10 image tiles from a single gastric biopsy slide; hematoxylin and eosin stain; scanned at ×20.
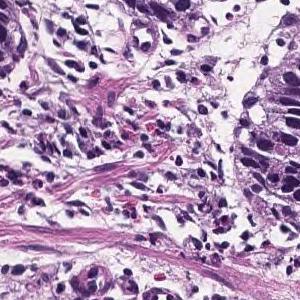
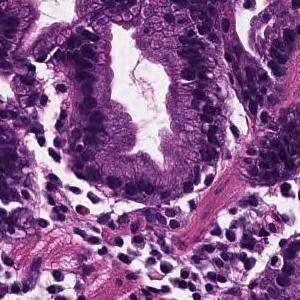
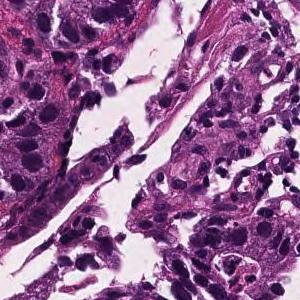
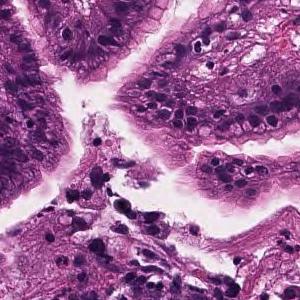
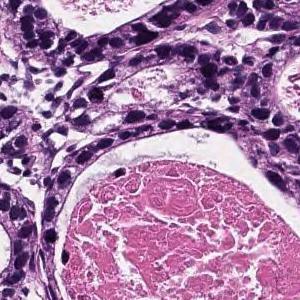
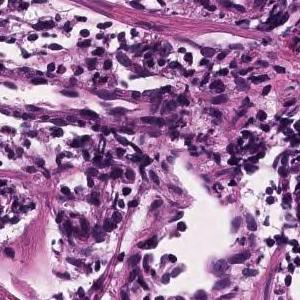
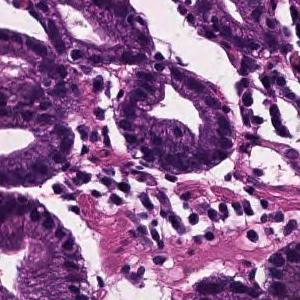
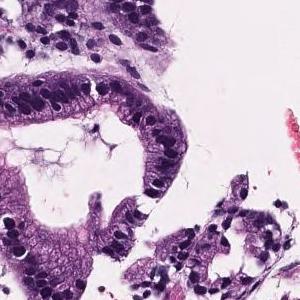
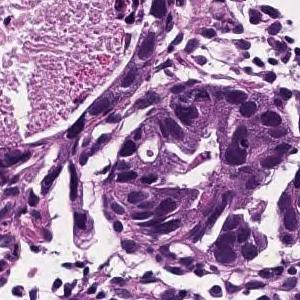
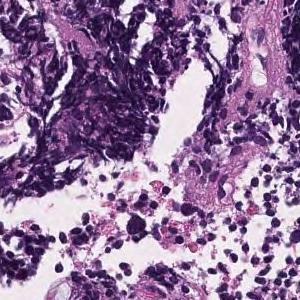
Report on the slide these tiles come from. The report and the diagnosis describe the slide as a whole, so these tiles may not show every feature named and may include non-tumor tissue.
In the superficial epithelium, tumor tissue that invades by forming medium-sized to small, irregular ducts is observed. Well differentiated tubular adenocarcinoma.
